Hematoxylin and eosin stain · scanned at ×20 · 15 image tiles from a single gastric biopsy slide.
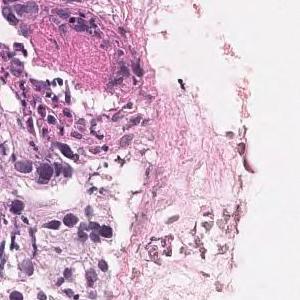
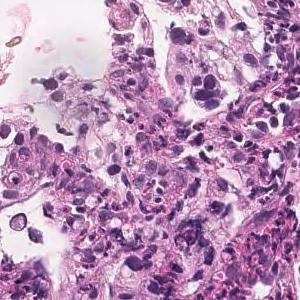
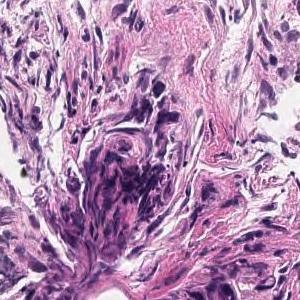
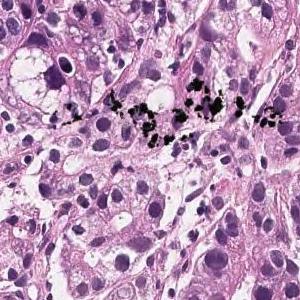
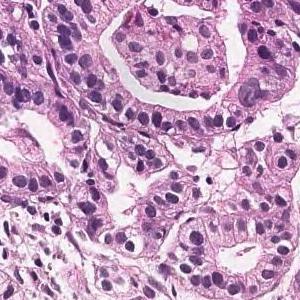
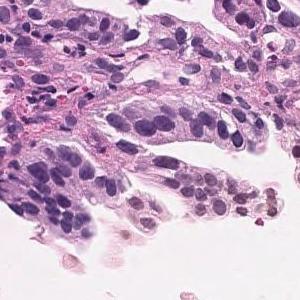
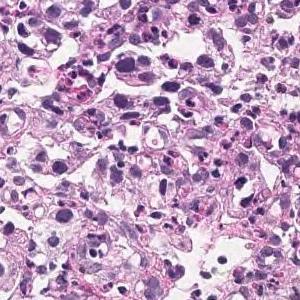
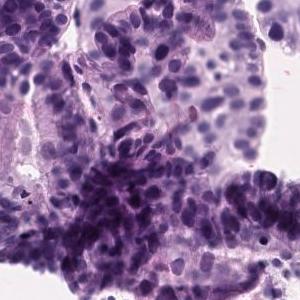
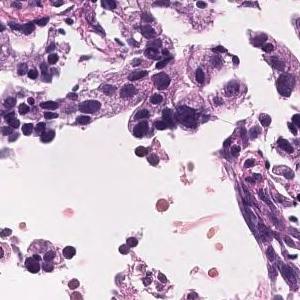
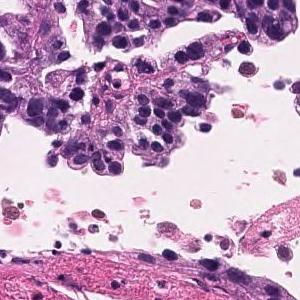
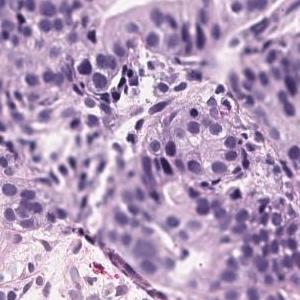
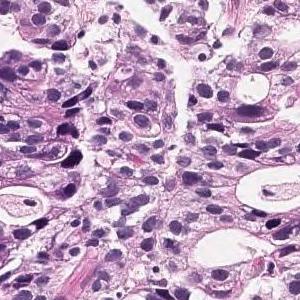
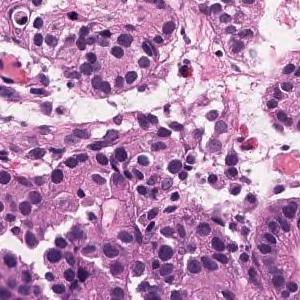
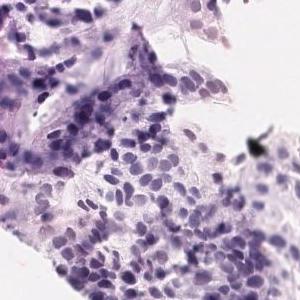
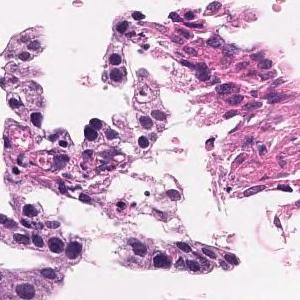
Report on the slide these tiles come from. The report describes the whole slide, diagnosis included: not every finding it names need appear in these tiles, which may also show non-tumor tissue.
In the superficial epithelium, tumor tissue that invades by forming medium-sized to small, irregular ducts is observed. moderately differentiated tubular adenocarcinoma.
